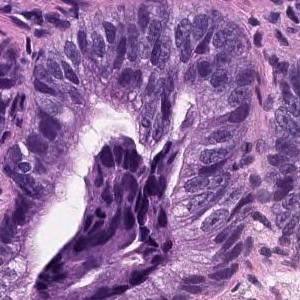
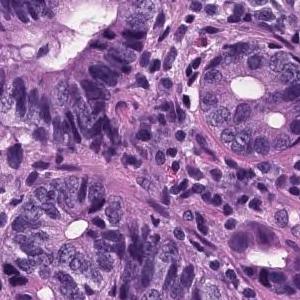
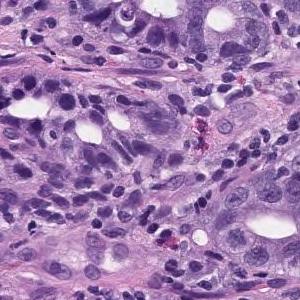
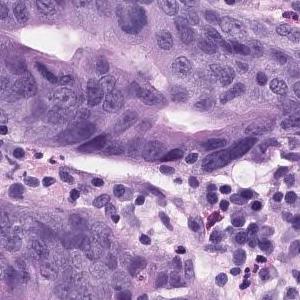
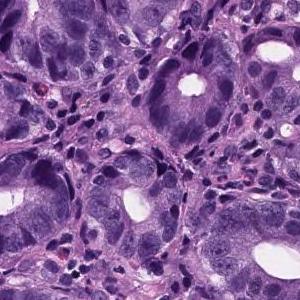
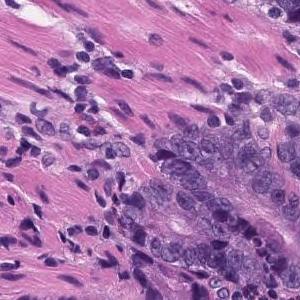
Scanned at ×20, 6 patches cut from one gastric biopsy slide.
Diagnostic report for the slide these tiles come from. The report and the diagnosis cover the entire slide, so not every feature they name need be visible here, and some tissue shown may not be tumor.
Tumor tissue consisting of medium-sized and irregular ducts is observed infiltrating in the superficial epithelium. Tumor cells are highly columnar, with nuclei aligned basolaterally and polarized. Well differentiated tubular adenocarcinoma.
